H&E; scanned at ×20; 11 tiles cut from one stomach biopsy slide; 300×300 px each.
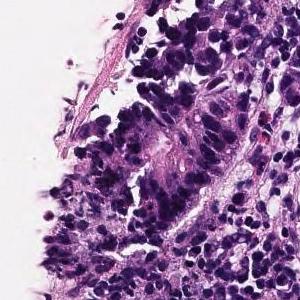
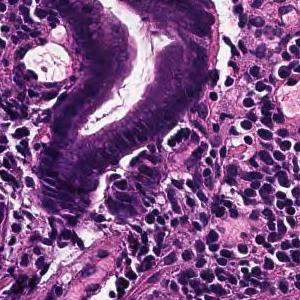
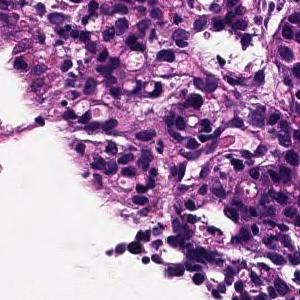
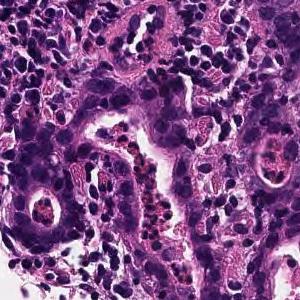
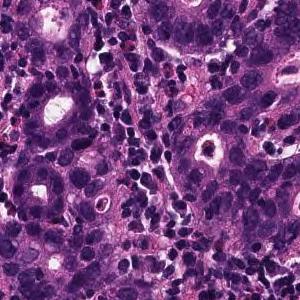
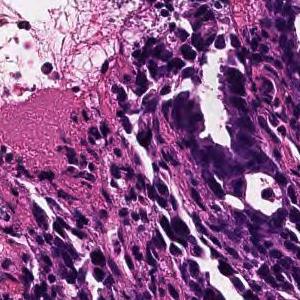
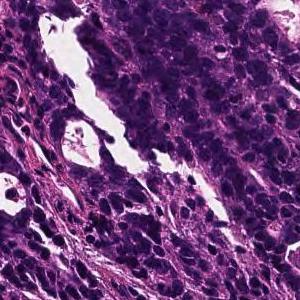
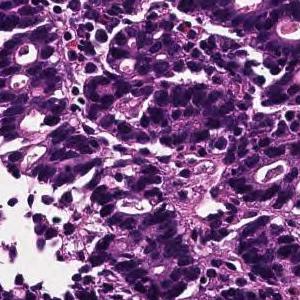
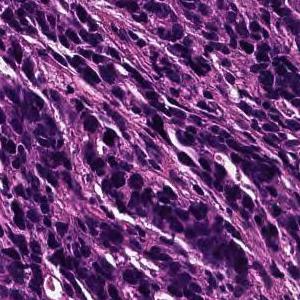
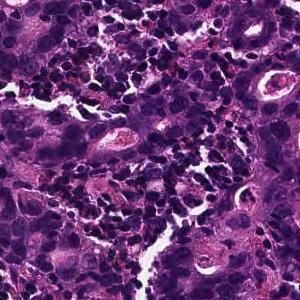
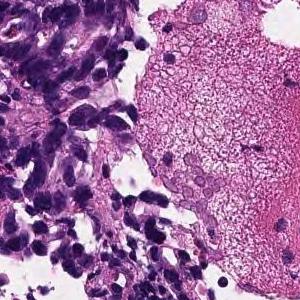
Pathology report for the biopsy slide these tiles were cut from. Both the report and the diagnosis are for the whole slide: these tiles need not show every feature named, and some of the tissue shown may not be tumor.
On the superficial epithelium, tumor tissue is found in which medium-sized irregular gland ducts fuse with each other and infiltrate. moderately differentiated tubular adenocarcinoma or Poorly differentiated adenocarcinoma, non-solid type
Histologic type: Moderately to poorly differentiated adenocarcinoma.
The term "non-solid type" comes from the Japanese Classification of Gastric Carcinoma.
